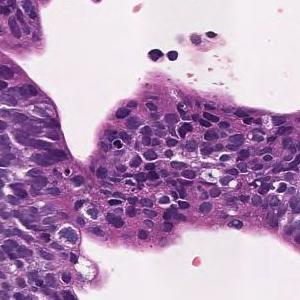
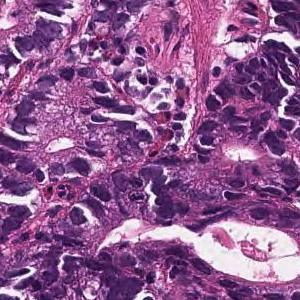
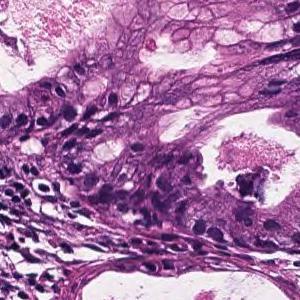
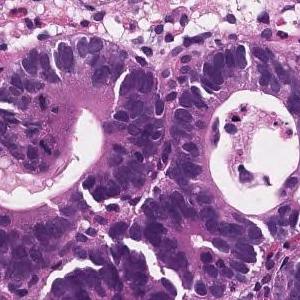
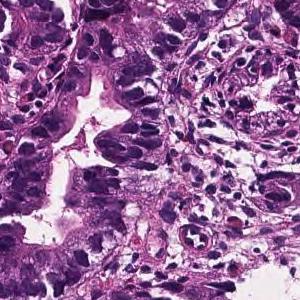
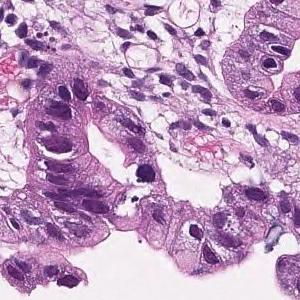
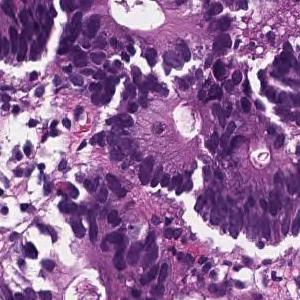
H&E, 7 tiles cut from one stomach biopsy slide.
Pathology report for the biopsy slide these tiles were cut from. The findings and the diagnosis refer to the entire slide; these tiles show only part of it, possibly with non-tumor tissue, and may not show every feature named.
On the superficial epithelium, tumor tissue consisting of large, irregular glandular ducts partially fused and infiltrated is observed. Well to moderately differentiated tubular adenocarcinoma (well differentiated tubular adenocarcinoma, moderately differentiated tubular adenocarcinoma)
Classified as well to moderately differentiated tubular adenocarcinoma.
